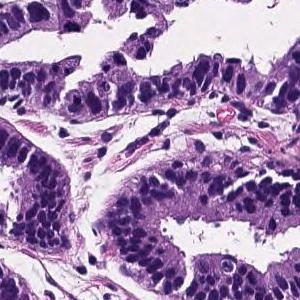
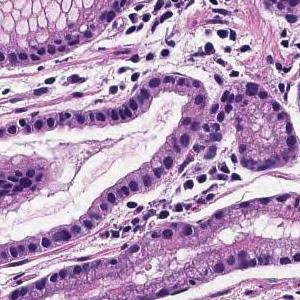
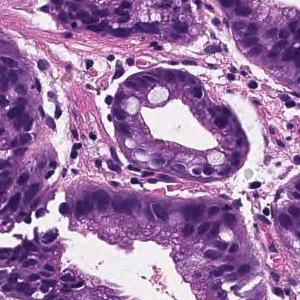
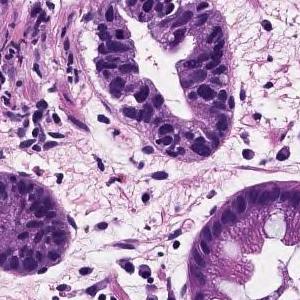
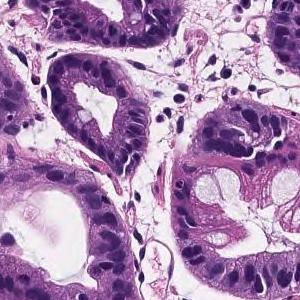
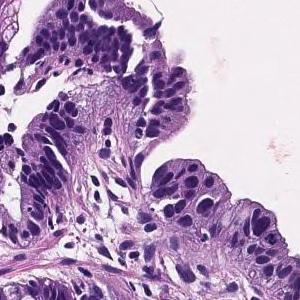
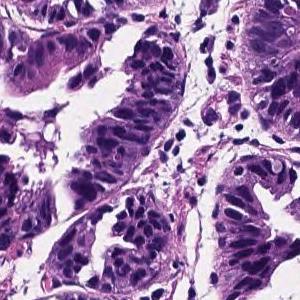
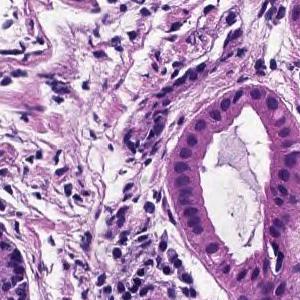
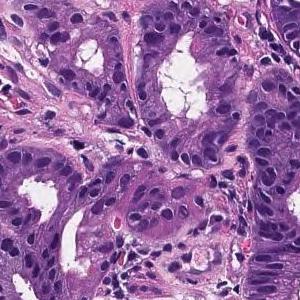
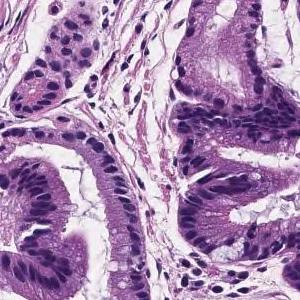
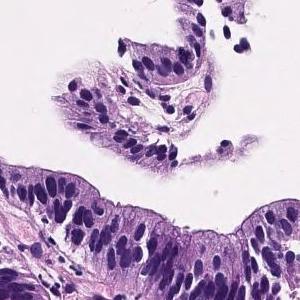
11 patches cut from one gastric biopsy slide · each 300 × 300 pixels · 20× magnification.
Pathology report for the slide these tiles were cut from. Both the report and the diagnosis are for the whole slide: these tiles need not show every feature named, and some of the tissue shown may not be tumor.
Tumor cells are large, highly columnar, large club-shaped nuclei, and are associated with chromatin aggregation. Papillary adenocarcinoma.
